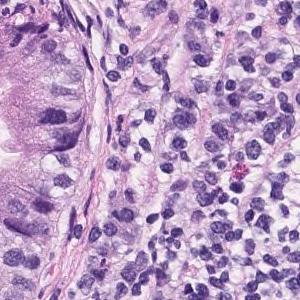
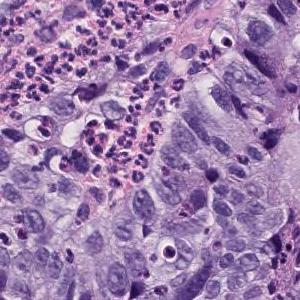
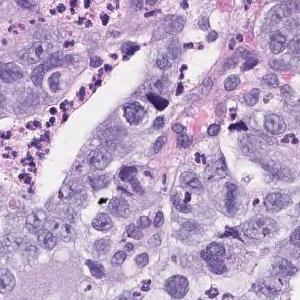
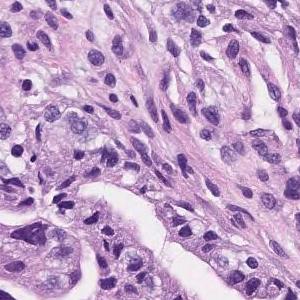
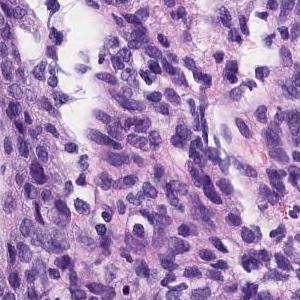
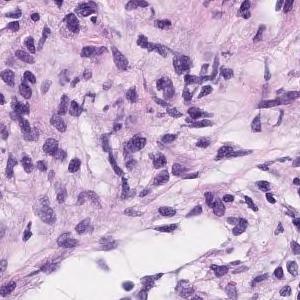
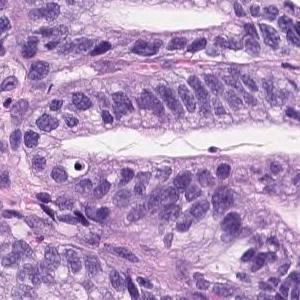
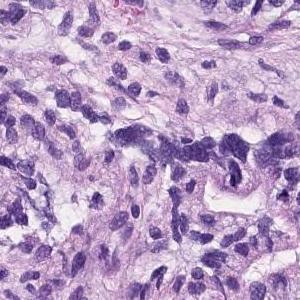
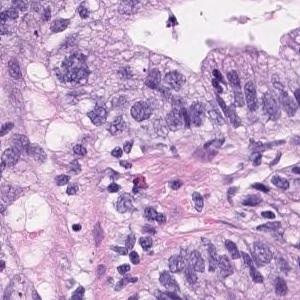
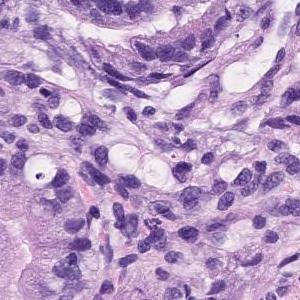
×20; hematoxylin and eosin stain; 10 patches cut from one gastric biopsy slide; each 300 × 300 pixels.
Diagnostic report for the slide these tiles come from. The report and the diagnosis describe the slide as a whole, so these tiles may not show every feature named and may include non-tumor tissue.
Tumor cells are large, highly columnar, large club-shaped nuclei, and are associated with chromatin aggregation. Papillary adenocarcinoma.
